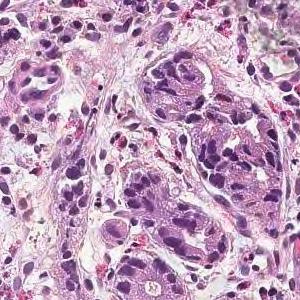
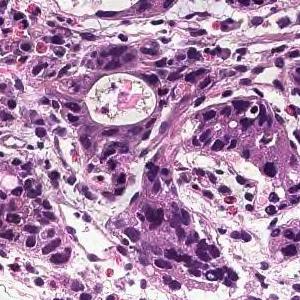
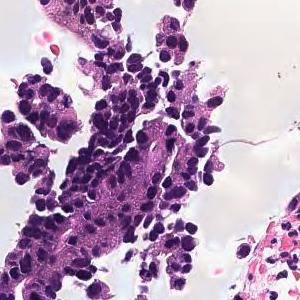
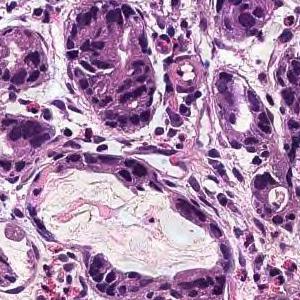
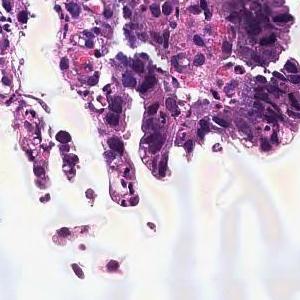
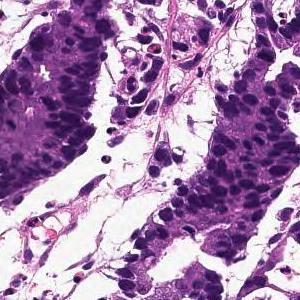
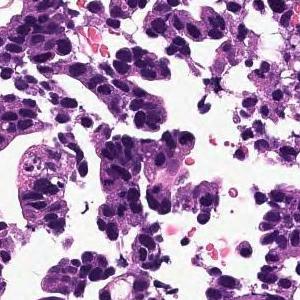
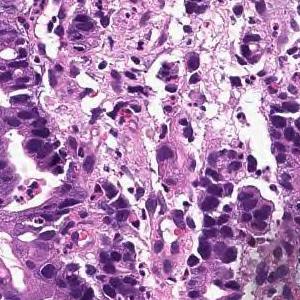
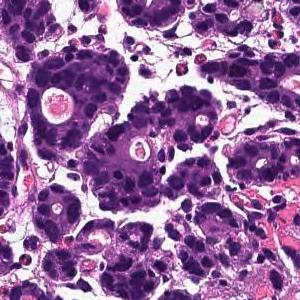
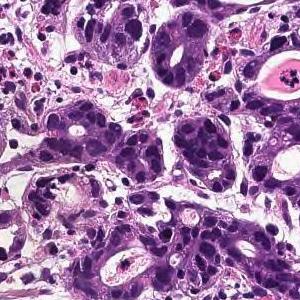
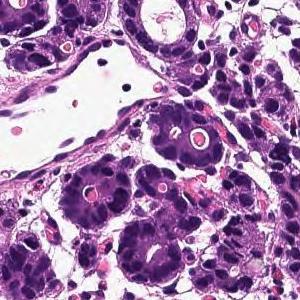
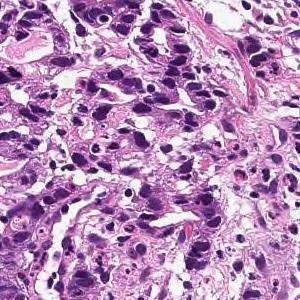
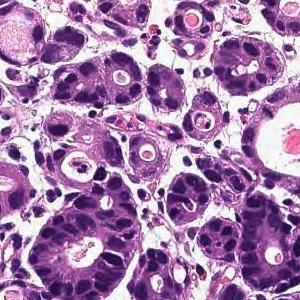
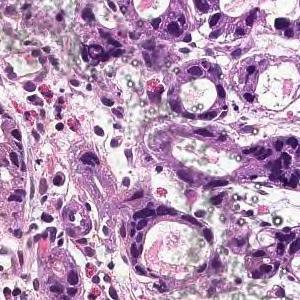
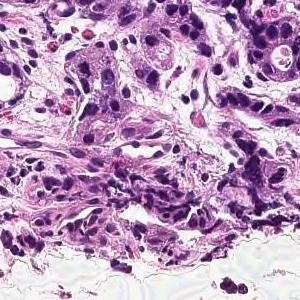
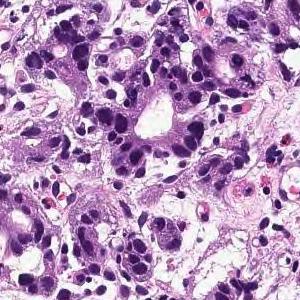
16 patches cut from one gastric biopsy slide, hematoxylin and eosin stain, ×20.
Pathology report for the slide these tiles were cut from. What the report and the diagnosis say applies to the whole slide; these tiles may miss some of the features named and may include tissue that is not tumor.
In the superficial epithelium, tumor tissue that invades by forming medium-sized to small, irregular ducts is observed. moderately differentiated tubular adenocarcinoma.
